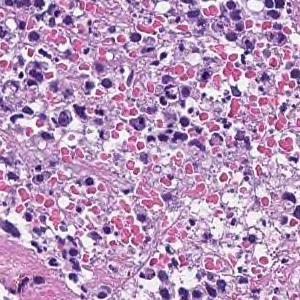
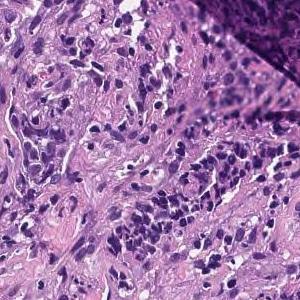
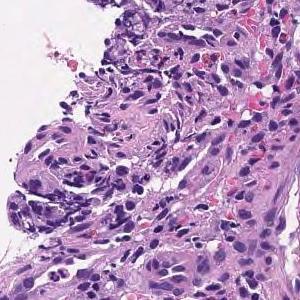
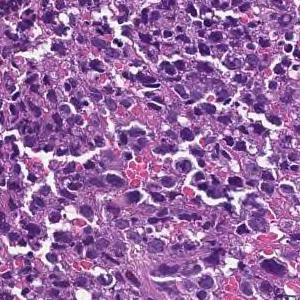
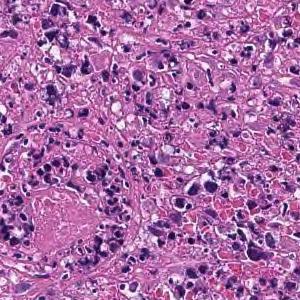
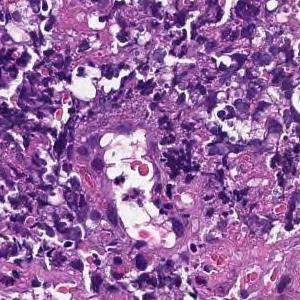
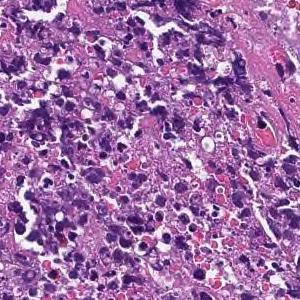
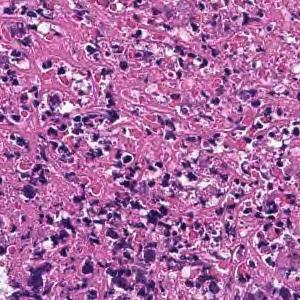
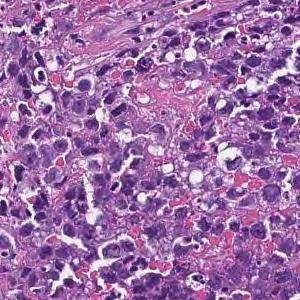
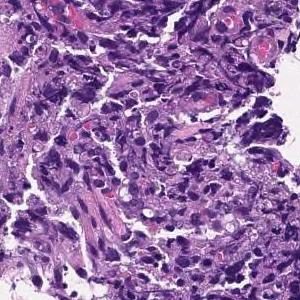
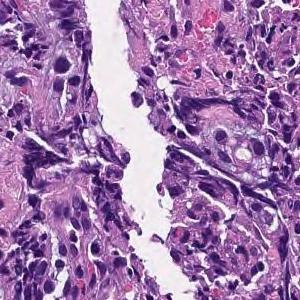
Hematoxylin and eosin stain; 11 patches cut from one gastric biopsy slide; each 300 × 300 pixels.
Pathology report for the slide these tiles were cut from. The findings and the diagnosis refer to the entire slide; these tiles show only part of it, possibly with non-tumor tissue, and may not show every feature named.
Most are composed of coagulative necrotic tissue, but some show a large sheet-like shape, and some show tumor tissue infiltrating with a small cord-like structure. Poorly differentiated adenocarcinoma, solid-type
Subtype: Poorly differentiated adenocarcinoma, solid type. This name comes from the Japanese Classification of Gastric Carcinoma; the WHO 2019 classification calls it tubular adenocarcinoma, poorly differentiated.
